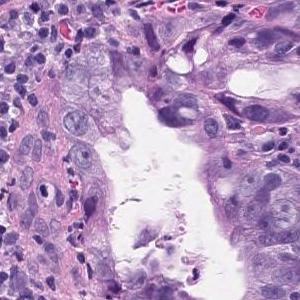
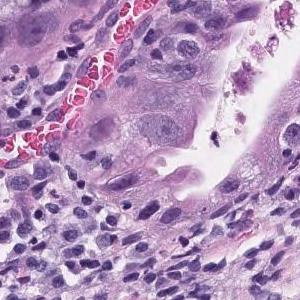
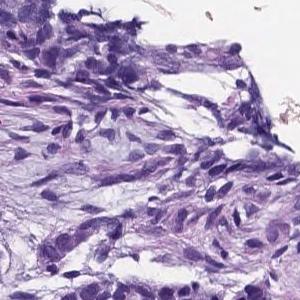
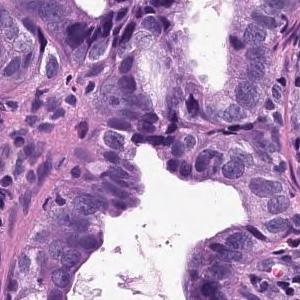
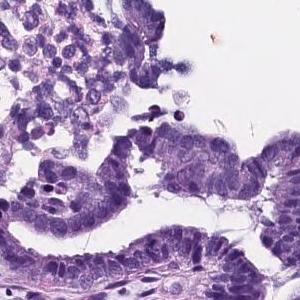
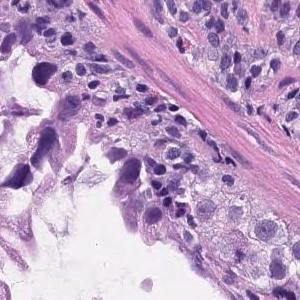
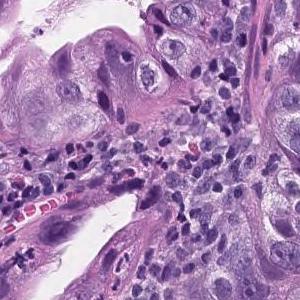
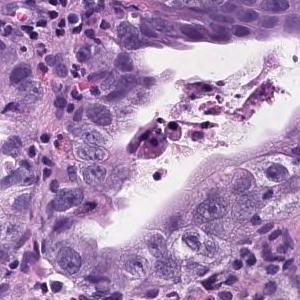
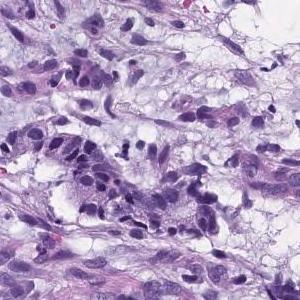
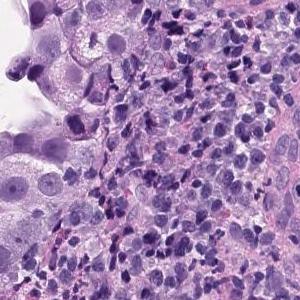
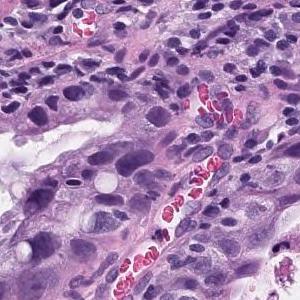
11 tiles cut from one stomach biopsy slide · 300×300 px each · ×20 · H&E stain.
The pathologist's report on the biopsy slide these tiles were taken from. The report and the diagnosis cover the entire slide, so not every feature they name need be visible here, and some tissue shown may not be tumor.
In the superficial epithelium, tumor tissue that invades by forming medium-sized to small, irregular ducts is observed. Moderately differentiated adenocarcinoma.
Tumor subtype: moderately differentiated tubular adenocarcinoma.
